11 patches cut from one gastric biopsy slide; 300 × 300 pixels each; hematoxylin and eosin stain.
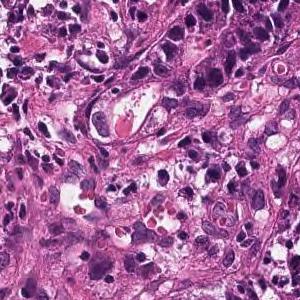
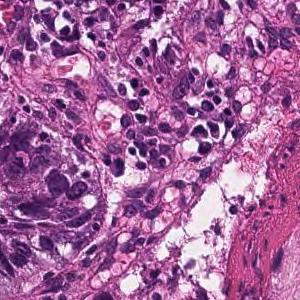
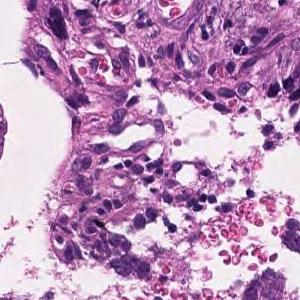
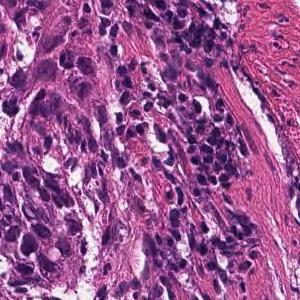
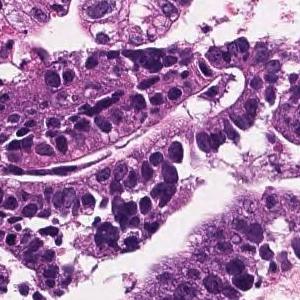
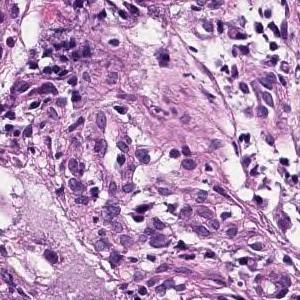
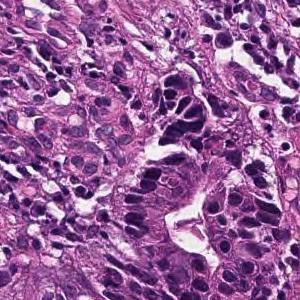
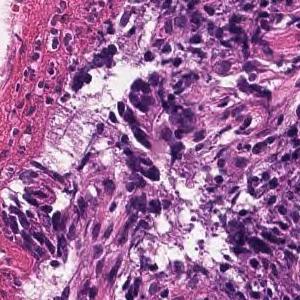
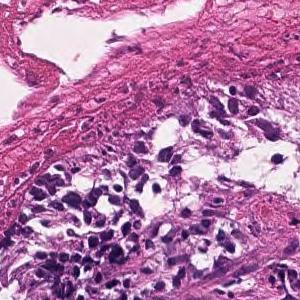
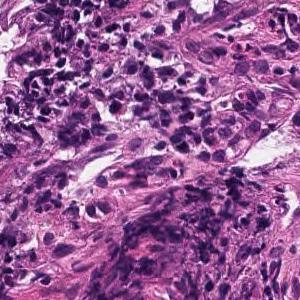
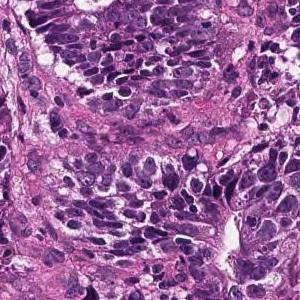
Pathology report for the slide these tiles were cut from. The report describes the whole slide, diagnosis included: not every finding it names need appear in these tiles, which may also show non-tumor tissue.
From the superficial epithelium to the muscularis mucosae, tumor tissue infiltrating by forming medium-sized irregular gland ducts is observed. Large tumor cells exhibit large nucleus and hyperchromatism. Well differentiated tubular adenocarcinoma
